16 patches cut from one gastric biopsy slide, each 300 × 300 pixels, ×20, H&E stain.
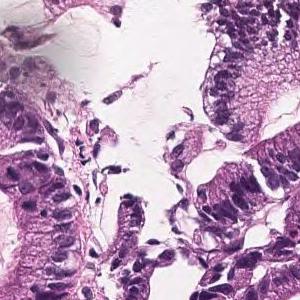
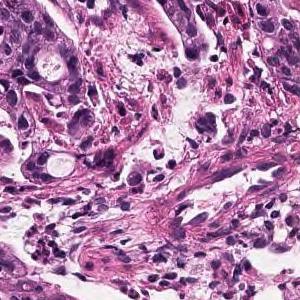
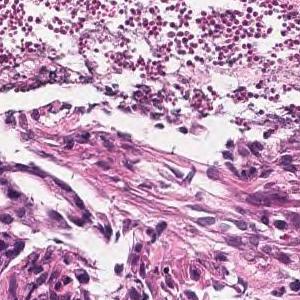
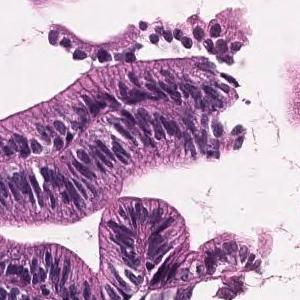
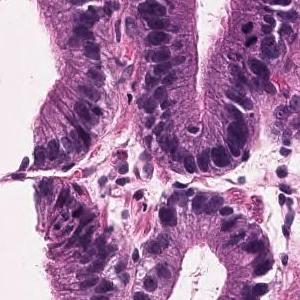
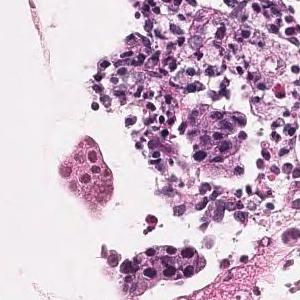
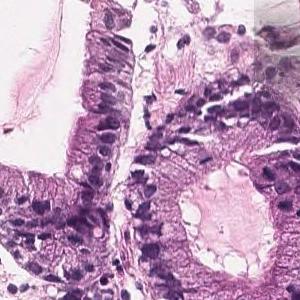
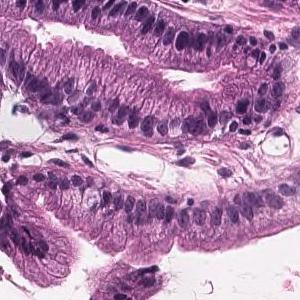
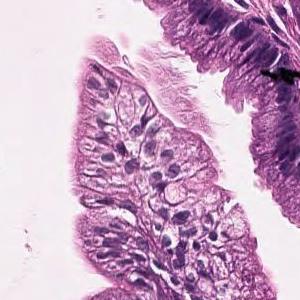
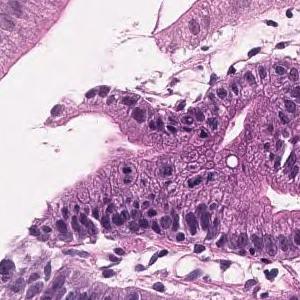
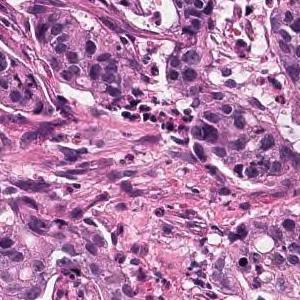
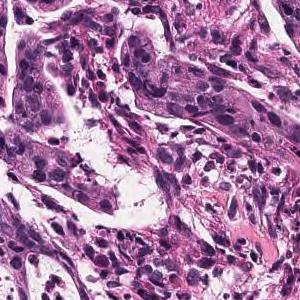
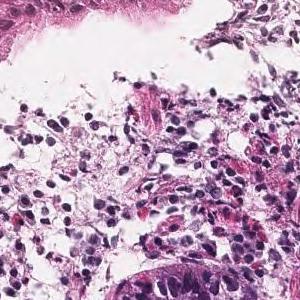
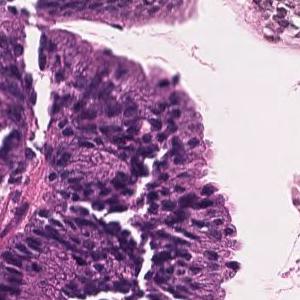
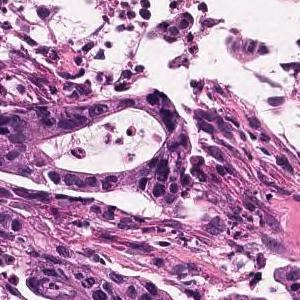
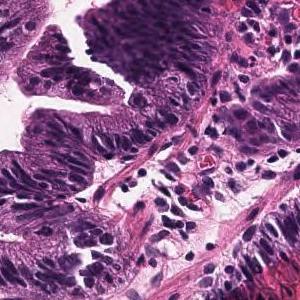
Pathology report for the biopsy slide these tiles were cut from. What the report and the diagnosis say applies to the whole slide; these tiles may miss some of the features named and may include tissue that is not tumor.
Tumor tissue that grows invasively while the short atypical epithelium forms small ducts is observed. moderately differentiated tubular adenocarcinoma
